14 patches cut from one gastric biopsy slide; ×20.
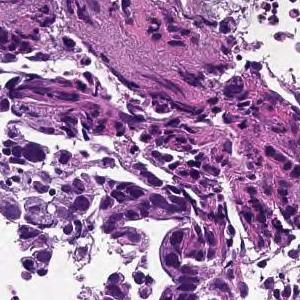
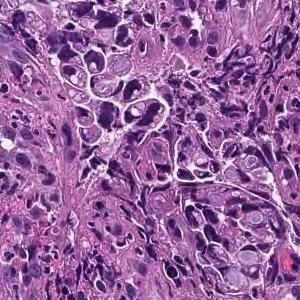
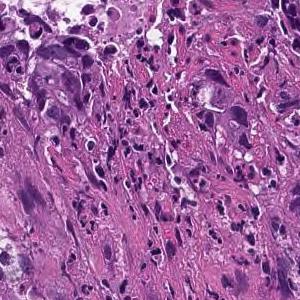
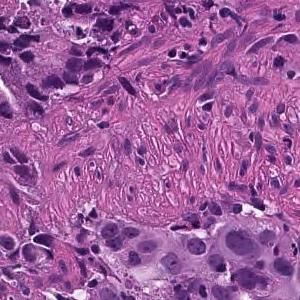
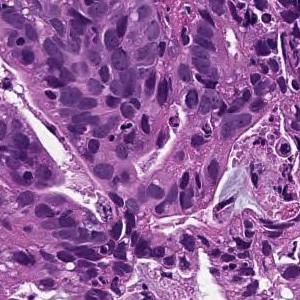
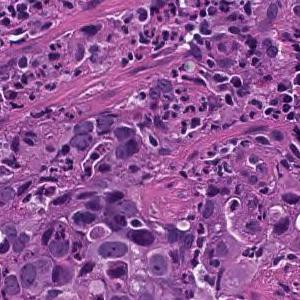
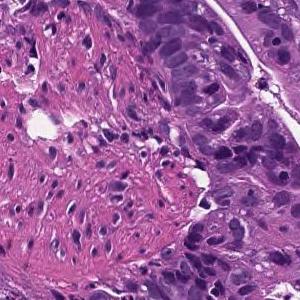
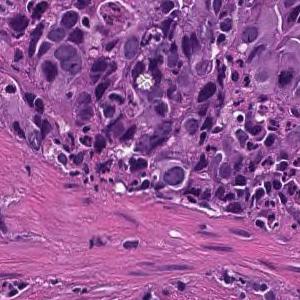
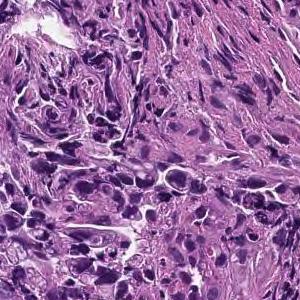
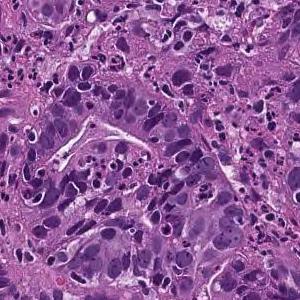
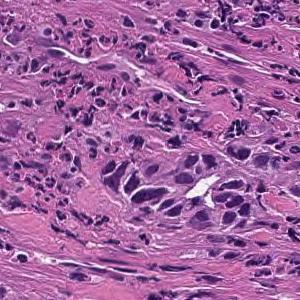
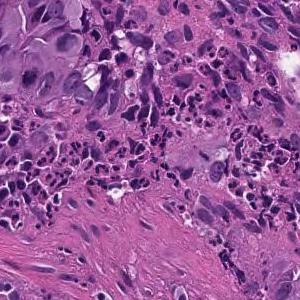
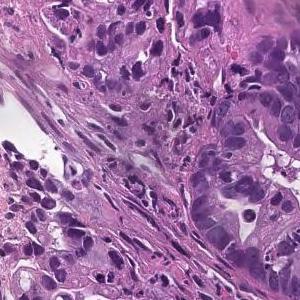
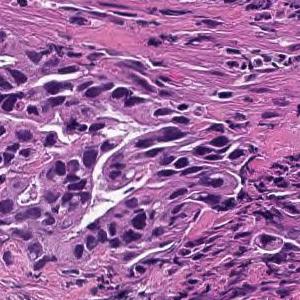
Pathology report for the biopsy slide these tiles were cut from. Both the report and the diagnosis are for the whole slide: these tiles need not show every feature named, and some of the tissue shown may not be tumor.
Tumor tissue consisting of medium-sized, cord-like or irregular glandular infiltration is observed in the superficial epithelium. Poorly differentiated adenocarcinoma, non-solid type or moderately differentiated tubular adenocarcinoma
Histological subtype: Moderately to poorly differentiated adenocarcinoma.
The non-solid type named here is a Japanese Classification of Gastric Carcinoma category.
